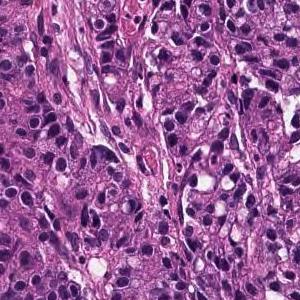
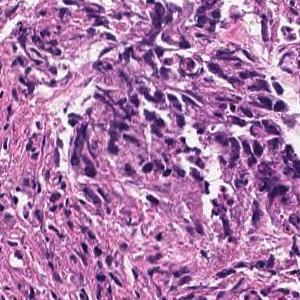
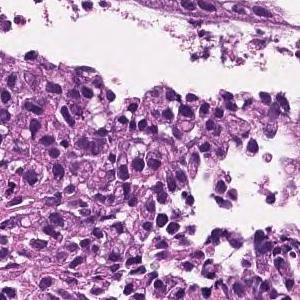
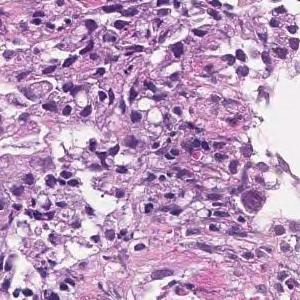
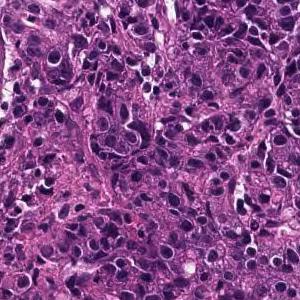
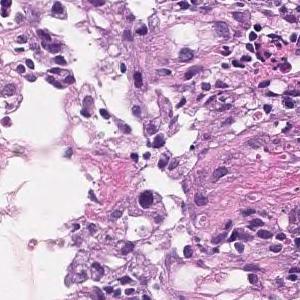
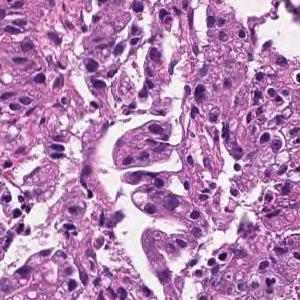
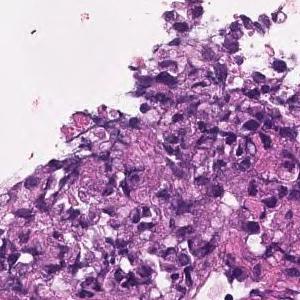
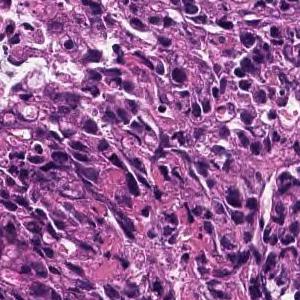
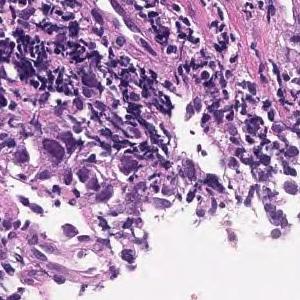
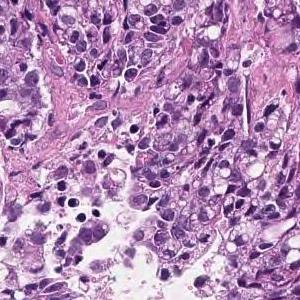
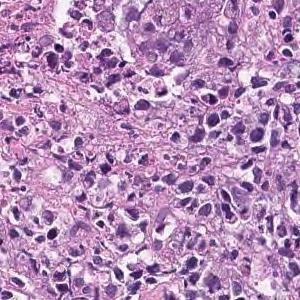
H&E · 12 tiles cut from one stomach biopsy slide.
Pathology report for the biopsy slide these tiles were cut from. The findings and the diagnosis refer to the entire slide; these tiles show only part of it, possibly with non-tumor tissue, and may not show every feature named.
Medium to small, irregular glandular ducts are formed in the superficial epithelium, and in some cases, the glandular ducts are fused to show solid alveolar lesions and infiltrating tumor tissue is observed. Moderately to poorly differentiated adenocarcinoma.
